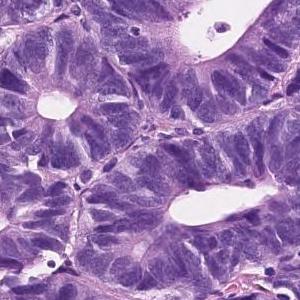
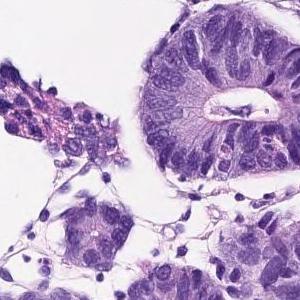
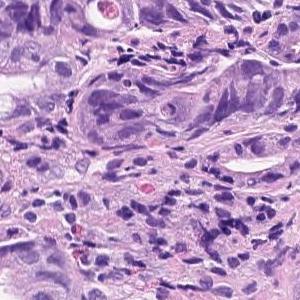
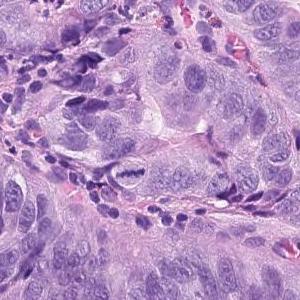
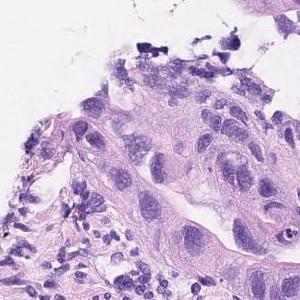
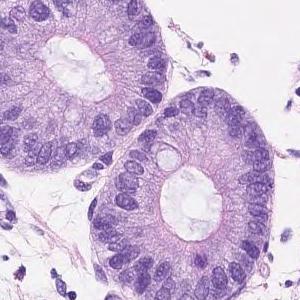
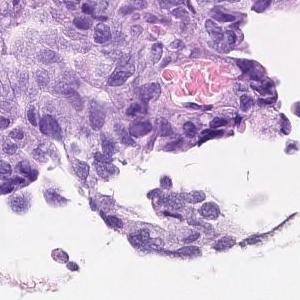
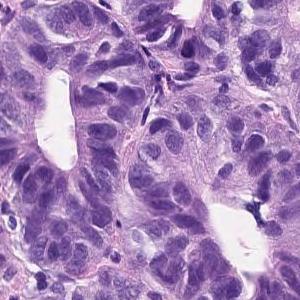
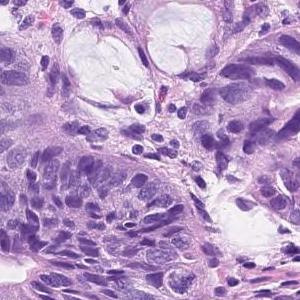
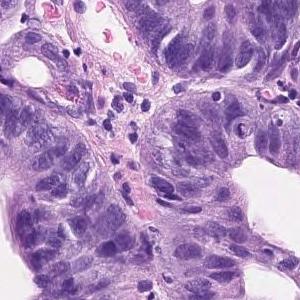
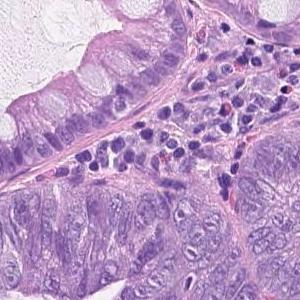
Scanned at ×20; H&E stain; 11 tiles cut from one stomach biopsy slide; 300×300 px each.
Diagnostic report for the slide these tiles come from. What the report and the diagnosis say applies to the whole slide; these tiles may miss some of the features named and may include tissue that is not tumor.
Tumor tissue consisting of medium-sized and irregular ducts is observed infiltrating in the superficial epithelium. Tumor cells are highly columnar, with nuclei aligned basolaterally and polarized. Well differentiated tubular adenocarcinoma.
